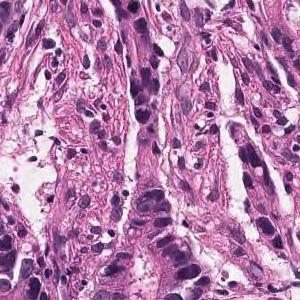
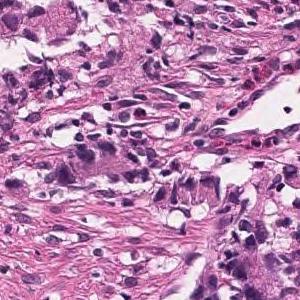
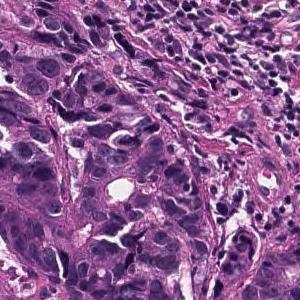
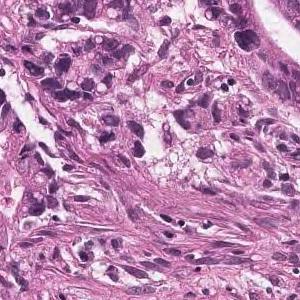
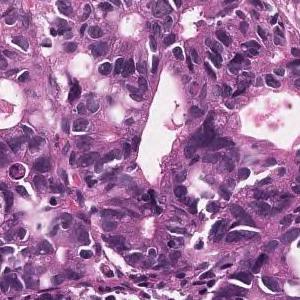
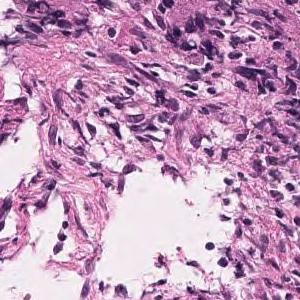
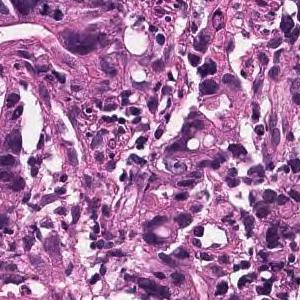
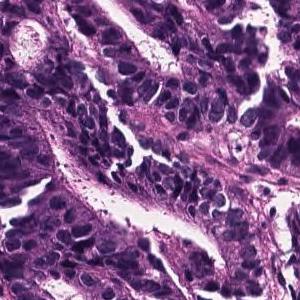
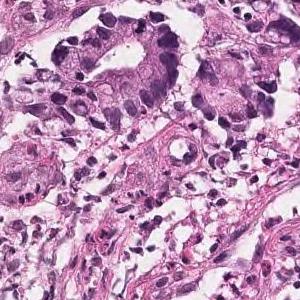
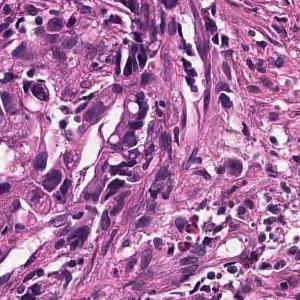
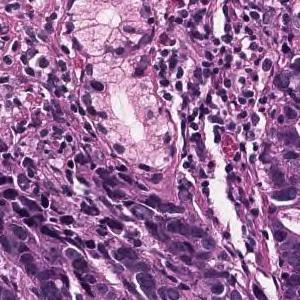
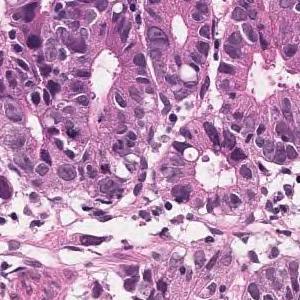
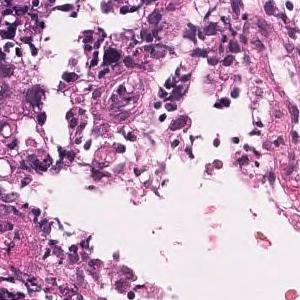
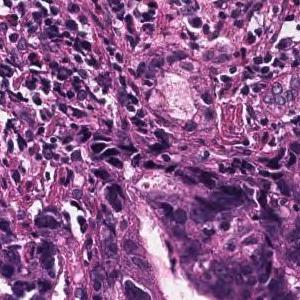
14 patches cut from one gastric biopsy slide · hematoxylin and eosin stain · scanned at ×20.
Diagnostic report for the slide these tiles come from. The report describes the whole slide, diagnosis included: not every finding it names need appear in these tiles, which may also show non-tumor tissue.
In the superficial epithelium, tumor tissue is found in which medium-sized irregular gland ducts fuse with each other and infiltrate. moderately differentiated tubular adenocarcinoma
